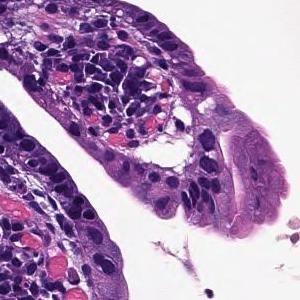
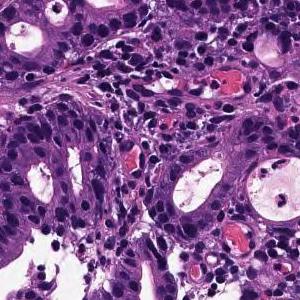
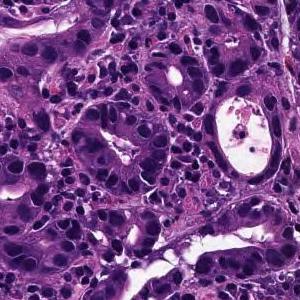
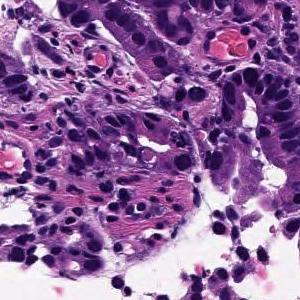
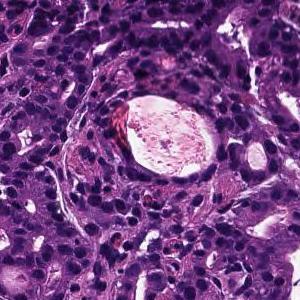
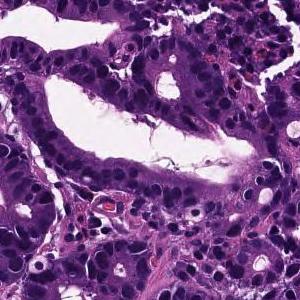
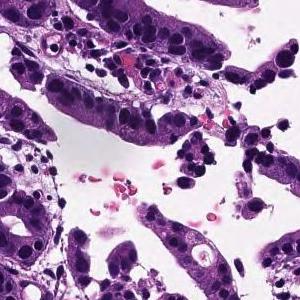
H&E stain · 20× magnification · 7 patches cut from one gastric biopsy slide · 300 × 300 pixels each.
Diagnostic report for the slide these tiles come from. The report and the diagnosis cover the entire slide, so not every feature they name need be visible here, and some tissue shown may not be tumor.
From the superficial epithelium to the muscularis mucosae, tumor tissue consisting of medium-sized and irregular glandular ducts infiltrating is observed. Well differentiated tubular adenocarcinoma
